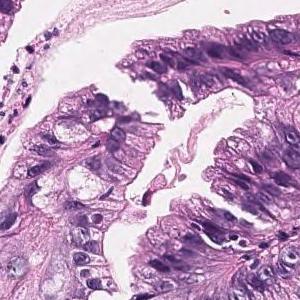
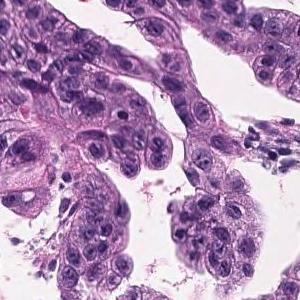
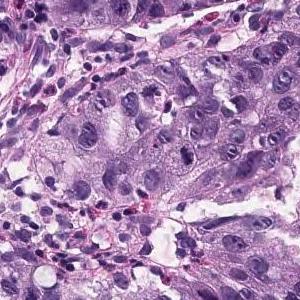
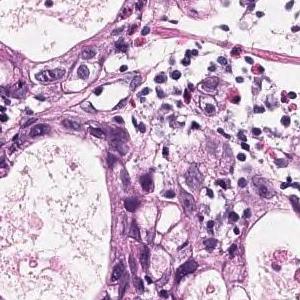
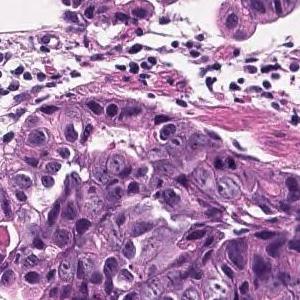
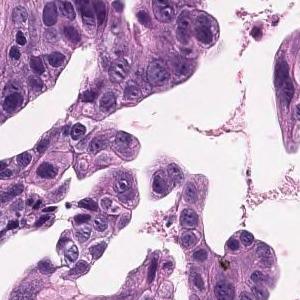
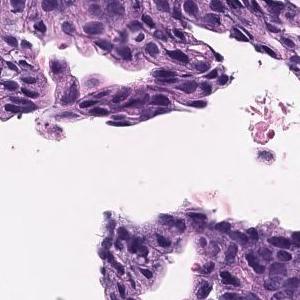
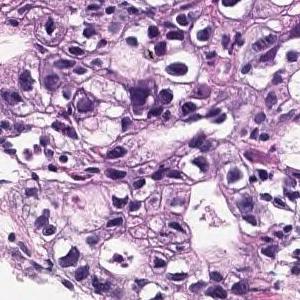
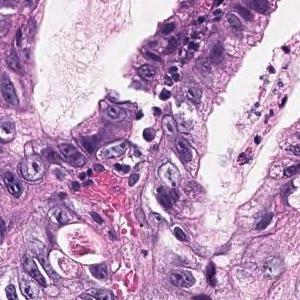
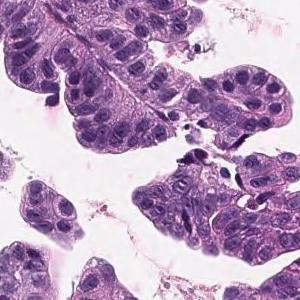
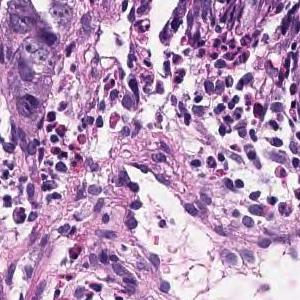
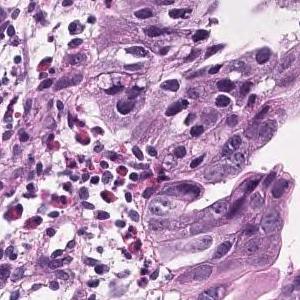
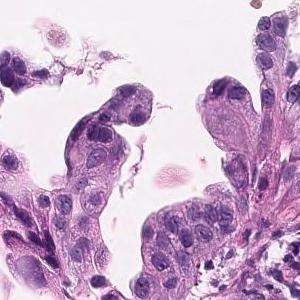
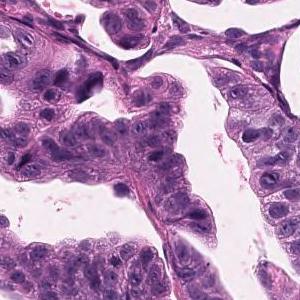
14 patches cut from one gastric biopsy slide; 300×300 px each; H&E stain.
The pathologist's report on the biopsy slide these tiles were taken from. The report and the diagnosis describe the slide as a whole, so these tiles may not show every feature named and may include non-tumor tissue.
Tumor cells are large, highly columnar, large club-shaped nuclei, and are associated with chromatin aggregation. Papillary adenocarcinoma.
